Hematoxylin and eosin stain; 20× magnification; 5 patches cut from one gastric biopsy slide.
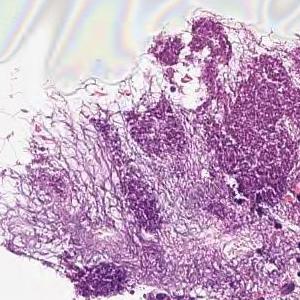
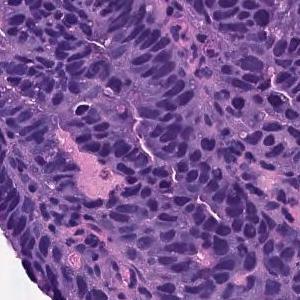
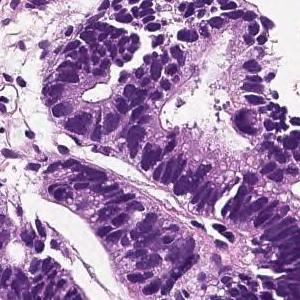
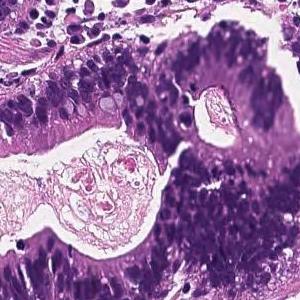
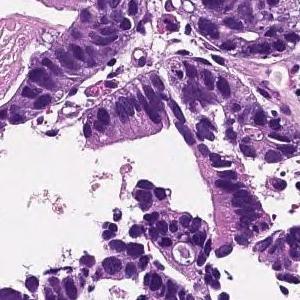
Diagnostic report for the slide these tiles come from. The report describes the whole slide, diagnosis included: not every finding it names need appear in these tiles, which may also show non-tumor tissue.
In the superficial epithelium, tumor tissue that invades by forming medium-sized to small, irregular ducts is observed. moderately differentiated tubular adenocarcinoma.
